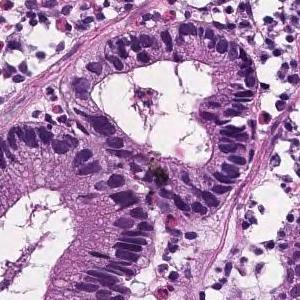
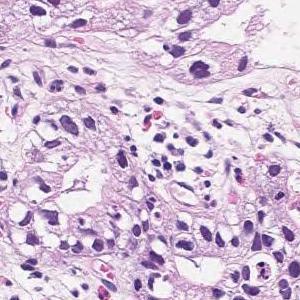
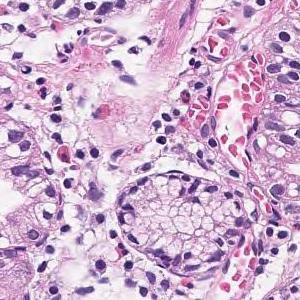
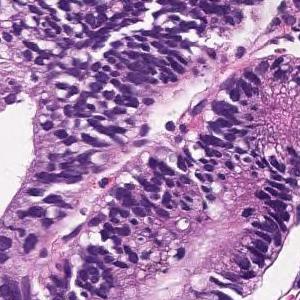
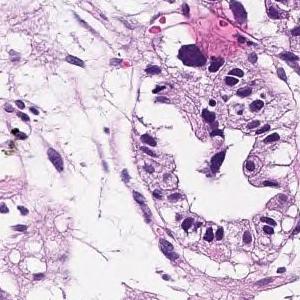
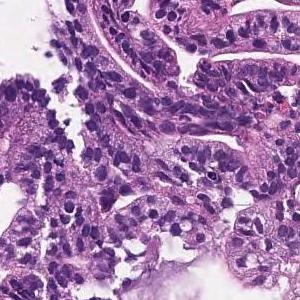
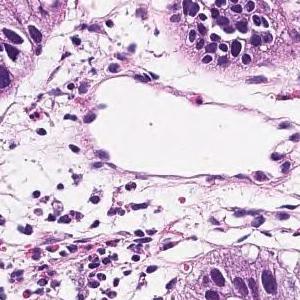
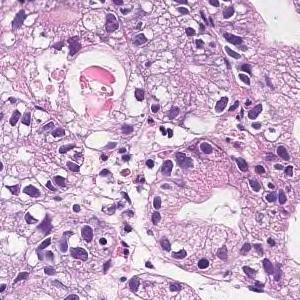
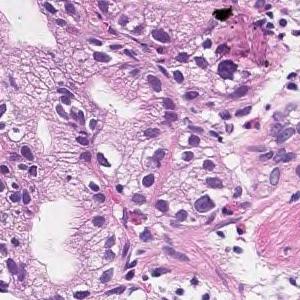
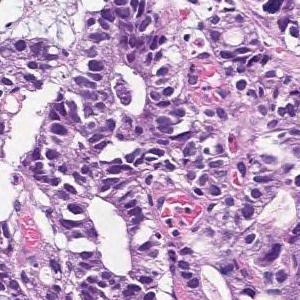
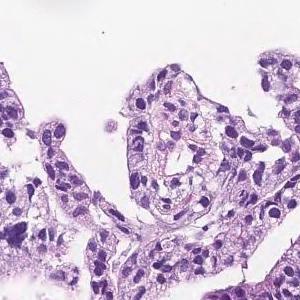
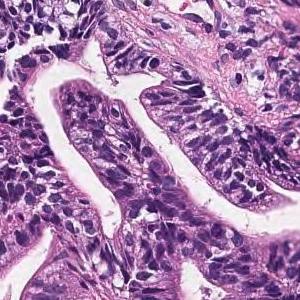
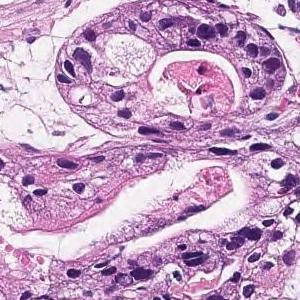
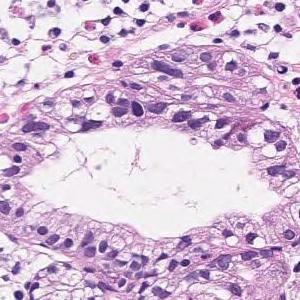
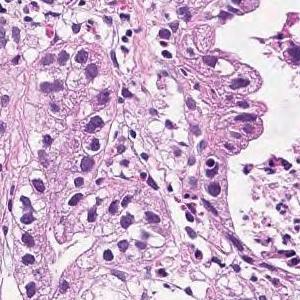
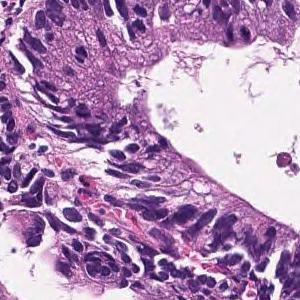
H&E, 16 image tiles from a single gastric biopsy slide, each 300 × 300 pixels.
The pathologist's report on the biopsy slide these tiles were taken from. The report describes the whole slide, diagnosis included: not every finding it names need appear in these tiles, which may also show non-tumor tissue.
In the superficial epithelium, tumor tissue that invades by forming medium-sized to small, irregular ducts is observed. Moderately differentiated adenocarcinoma.
Histological subtype: Moderately differentiated tubular adenocarcinoma.
